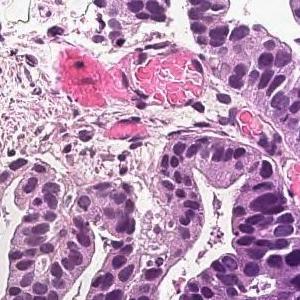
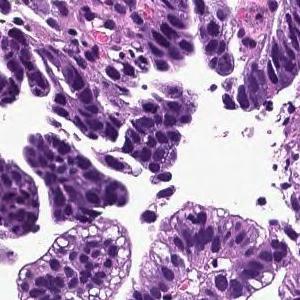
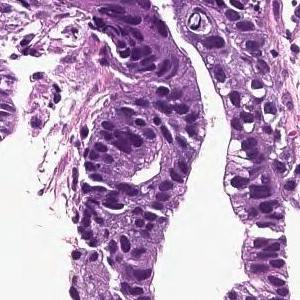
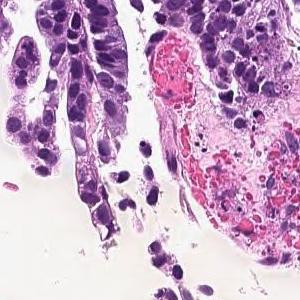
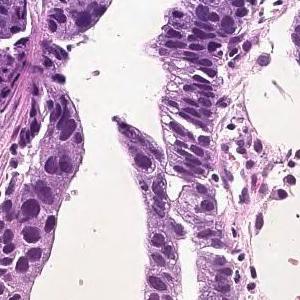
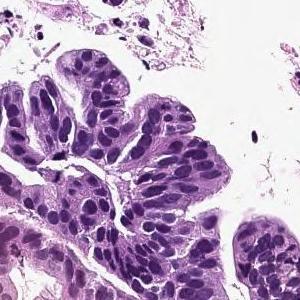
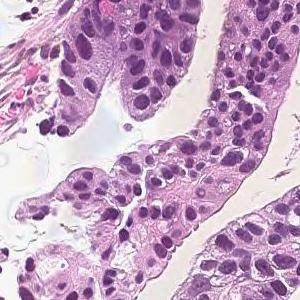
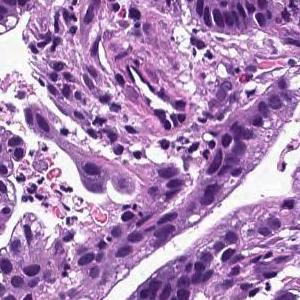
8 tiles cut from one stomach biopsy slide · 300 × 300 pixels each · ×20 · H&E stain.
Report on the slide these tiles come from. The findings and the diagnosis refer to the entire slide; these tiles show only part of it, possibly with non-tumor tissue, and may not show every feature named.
Tumor cells are large, highly columnar, large club-shaped nuclei, and are associated with chromatin aggregation. Papillary adenocarcinoma.
